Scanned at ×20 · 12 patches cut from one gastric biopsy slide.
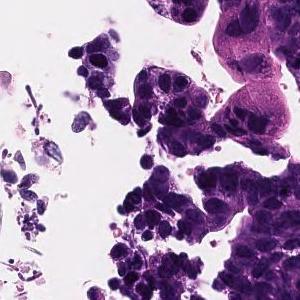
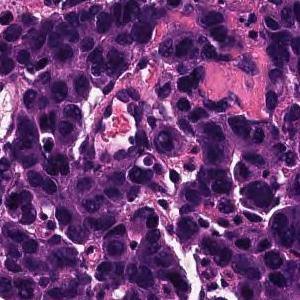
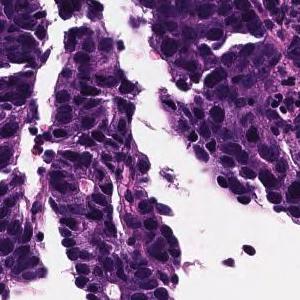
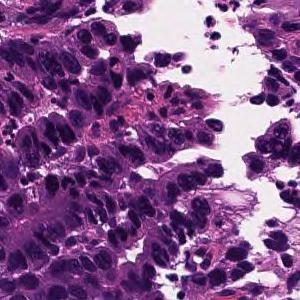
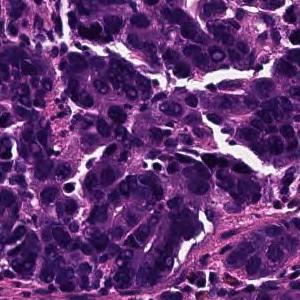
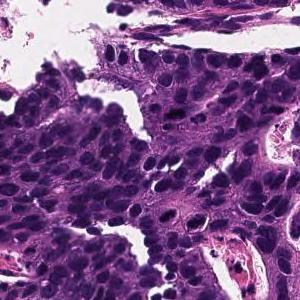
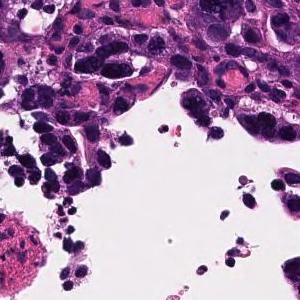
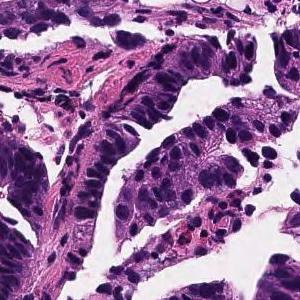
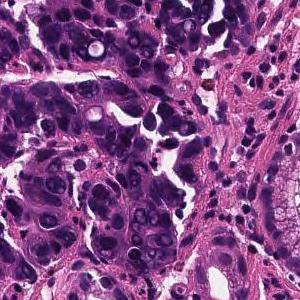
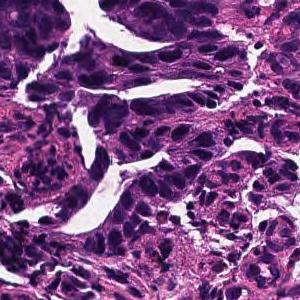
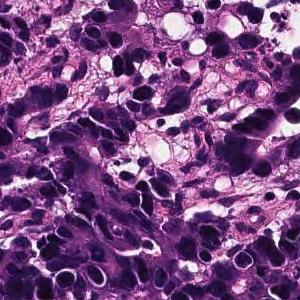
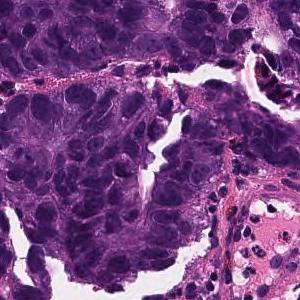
The pathologist's report on the biopsy slide these tiles were taken from. Both the report and the diagnosis are for the whole slide: these tiles need not show every feature named, and some of the tissue shown may not be tumor.
In the superficial epithelium, tumor tissue that invades by forming medium-sized to small, irregular ducts is observed. moderately differentiated tubular adenocarcinoma.
